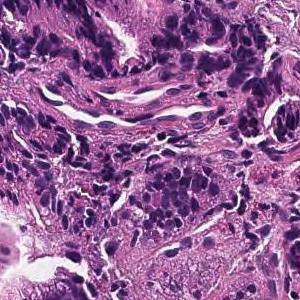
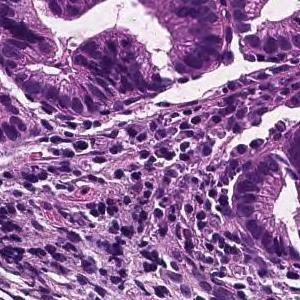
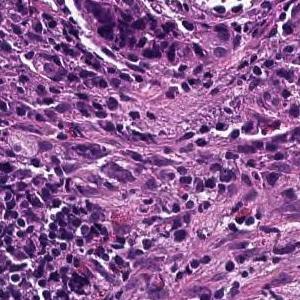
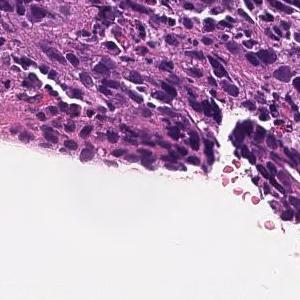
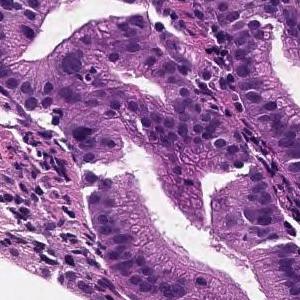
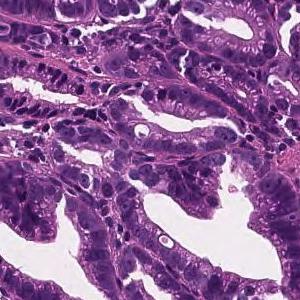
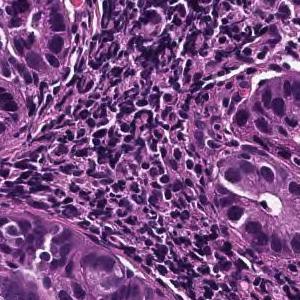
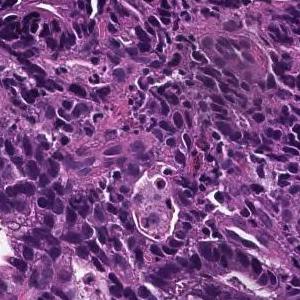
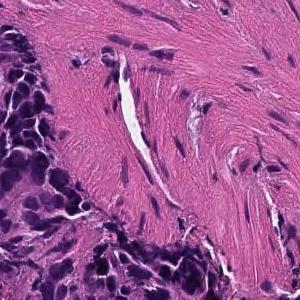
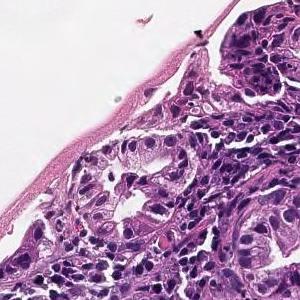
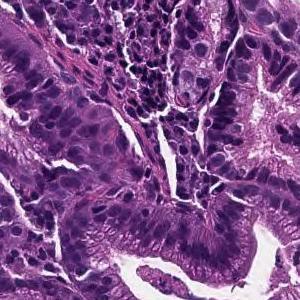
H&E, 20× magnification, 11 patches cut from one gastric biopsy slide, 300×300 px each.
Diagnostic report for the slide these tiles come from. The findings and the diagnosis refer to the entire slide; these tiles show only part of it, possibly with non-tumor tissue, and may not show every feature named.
On the superficial epithelium, tumor tissue consisting of large irregular glandular ducts partially fused and infiltrated is observed. Well to moderately differentiated tubular adenocarcinoma (well differentiated tubular adenocarcinoma, moderately differentiated tubular adenocarcinoma)
Tumor subtype: well to moderately differentiated tubular adenocarcinoma.
